H&E stain · 20× magnification · 5 patches cut from one gastric biopsy slide.
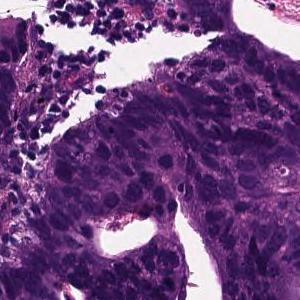
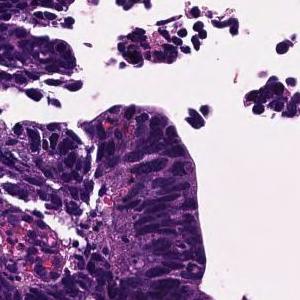
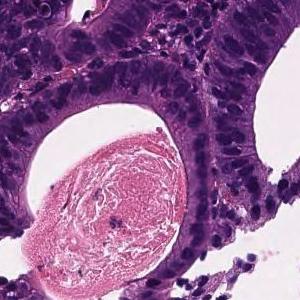
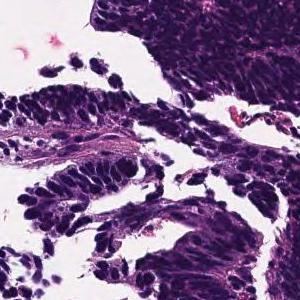
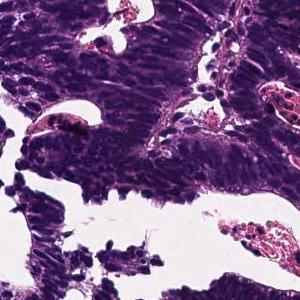
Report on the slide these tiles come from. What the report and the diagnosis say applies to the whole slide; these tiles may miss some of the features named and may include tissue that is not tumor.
In the superficial epithelium, tumor tissue that invades by forming medium-sized to small, irregular ducts is observed. moderately differentiated tubular adenocarcinoma.
